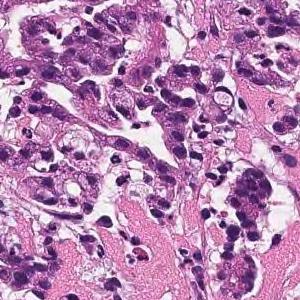
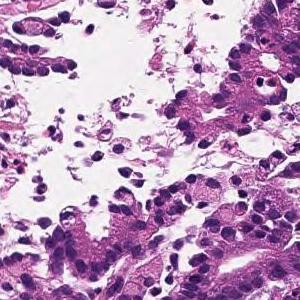
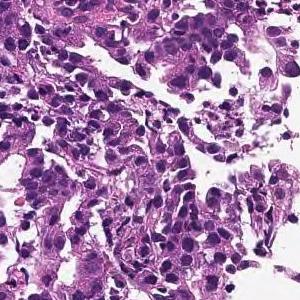
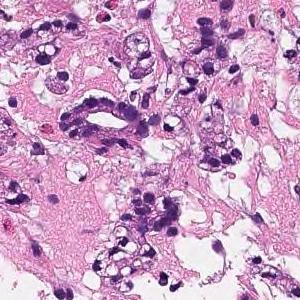
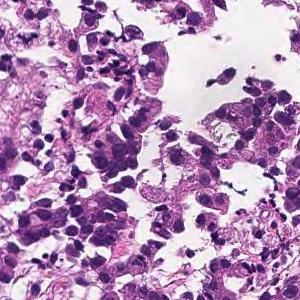
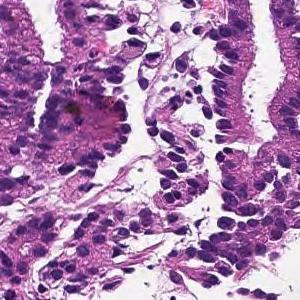
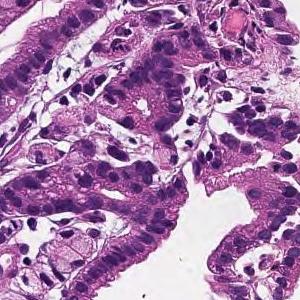
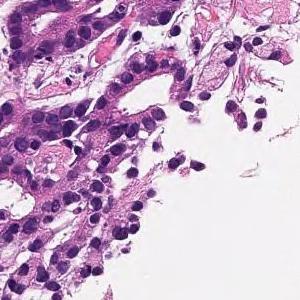
8 image tiles from a single gastric biopsy slide; ×20.
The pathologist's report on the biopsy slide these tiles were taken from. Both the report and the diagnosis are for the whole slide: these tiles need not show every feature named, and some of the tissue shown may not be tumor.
In the superficial epithelium, tumor tissue that invades by forming medium-sized to small, irregular ducts is observed. moderately differentiated tubular adenocarcinoma.
